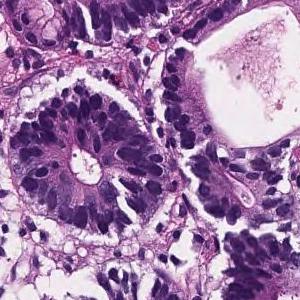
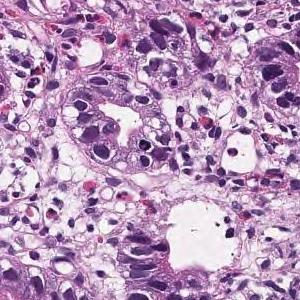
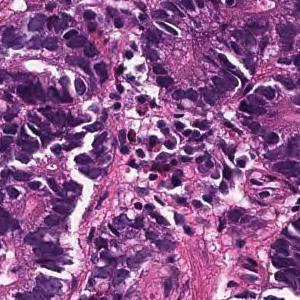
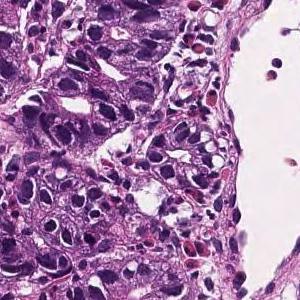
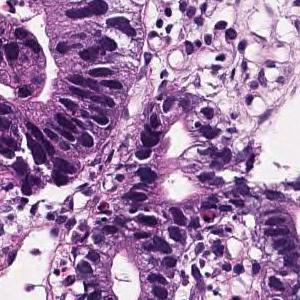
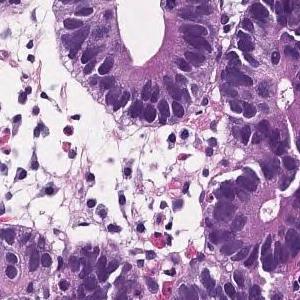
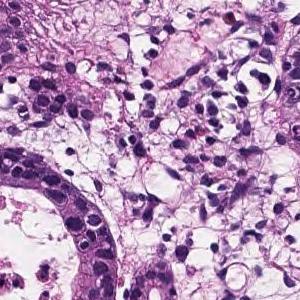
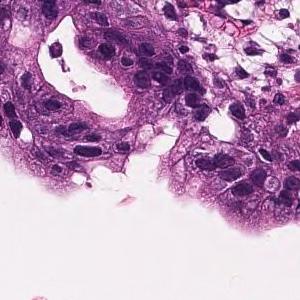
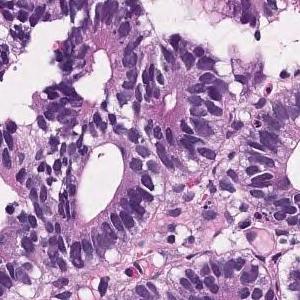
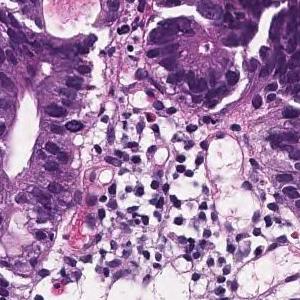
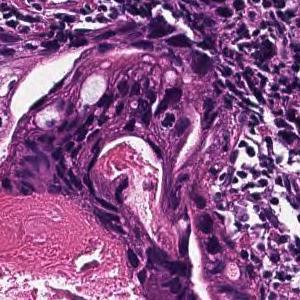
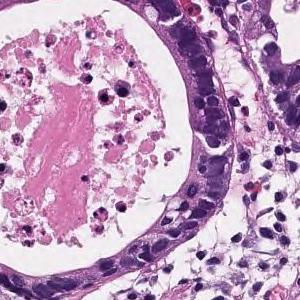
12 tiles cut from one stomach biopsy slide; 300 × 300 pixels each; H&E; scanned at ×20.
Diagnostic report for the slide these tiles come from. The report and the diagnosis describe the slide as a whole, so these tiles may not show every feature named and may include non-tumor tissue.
On the superficial epithelium, tumor tissue consisting of large, irregular glandular ducts partially fused and infiltrated is observed. Well to moderately differentiated tubular adenocarcinoma (well differentiated tubular adenocarcinoma, moderately differentiated tubular adenocarcinoma)
Subtype: Well to moderately differentiated tubular adenocarcinoma.
